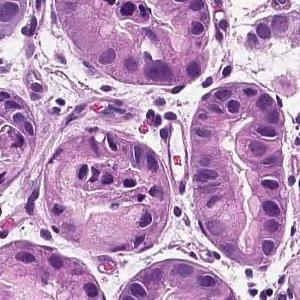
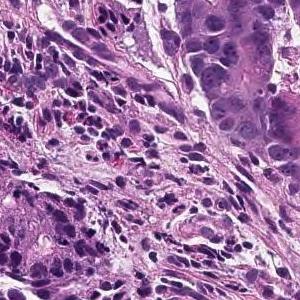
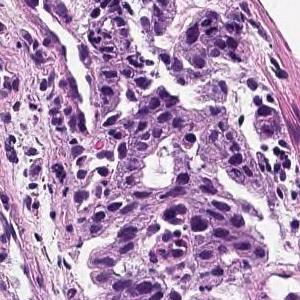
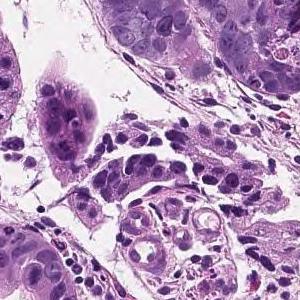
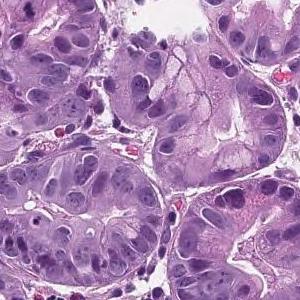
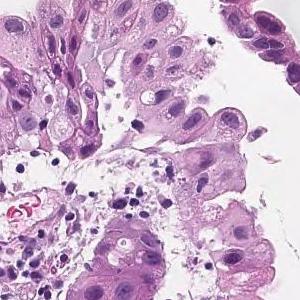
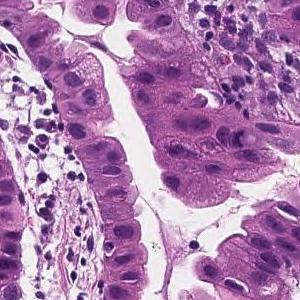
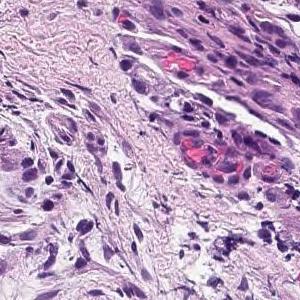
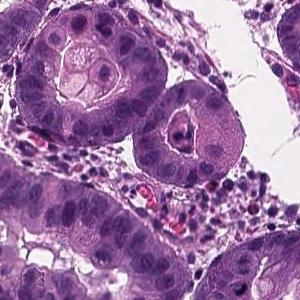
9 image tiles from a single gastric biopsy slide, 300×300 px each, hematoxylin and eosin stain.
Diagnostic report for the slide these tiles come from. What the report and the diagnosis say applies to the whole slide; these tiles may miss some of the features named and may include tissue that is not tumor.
On the superficial epithelium, tumor tissue that infiltrates by forming medium-sized papillary or small irregular ducts is observed. Papillary adenocarcinoma
